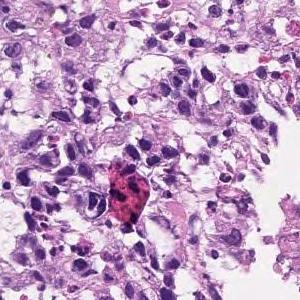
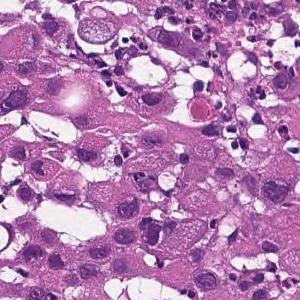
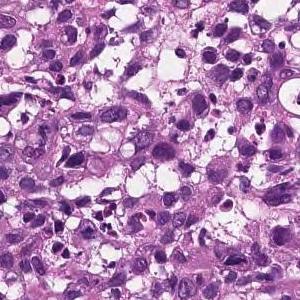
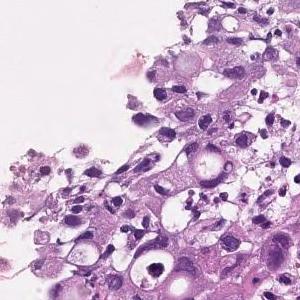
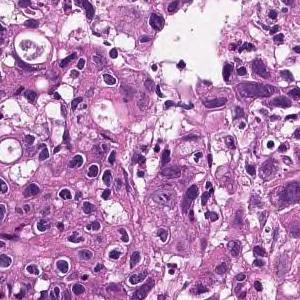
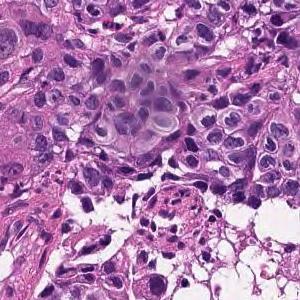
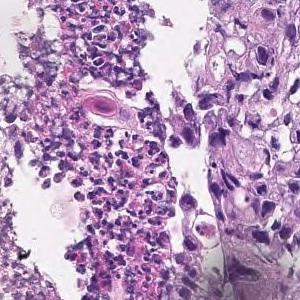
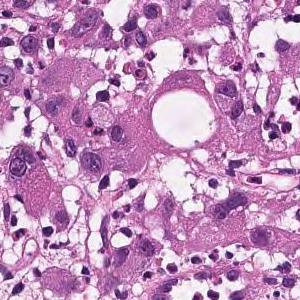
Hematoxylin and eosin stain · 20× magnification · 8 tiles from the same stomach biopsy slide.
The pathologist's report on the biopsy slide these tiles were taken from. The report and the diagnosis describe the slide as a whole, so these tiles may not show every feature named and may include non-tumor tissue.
The superficial epithelium shows a large sheet-like shape, and some tumor tissue infiltrates with small irregular ducts. Poorly differentiated adenocarcinoma, solid-type
Tumor subtype: poorly differentiated adenocarcinoma, solid type. This name comes from the Japanese Classification of Gastric Carcinoma; the WHO 2019 classification calls it tubular adenocarcinoma, poorly differentiated.
